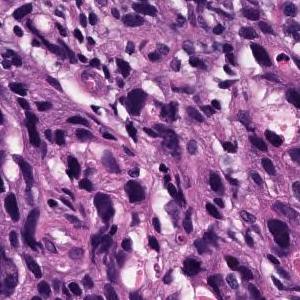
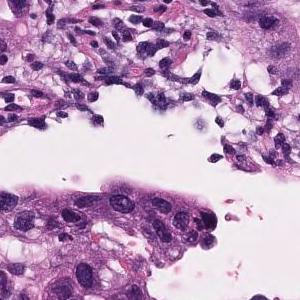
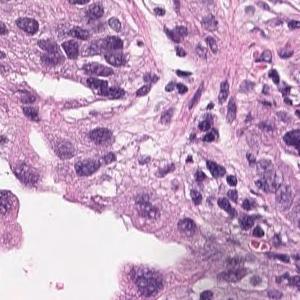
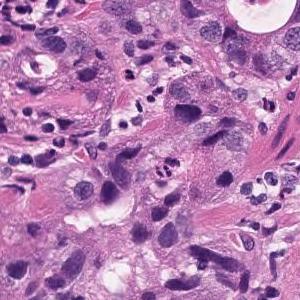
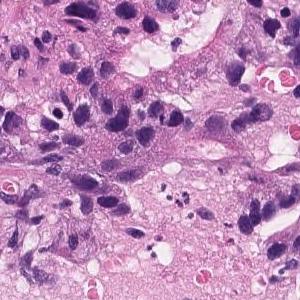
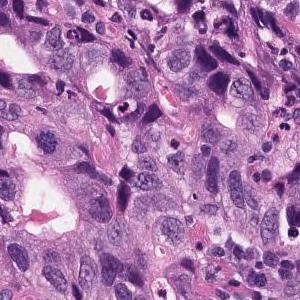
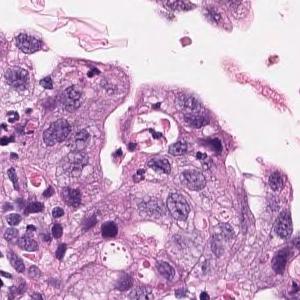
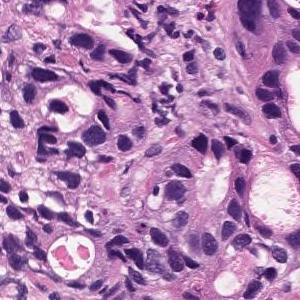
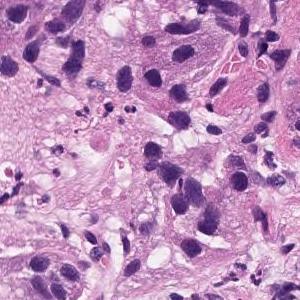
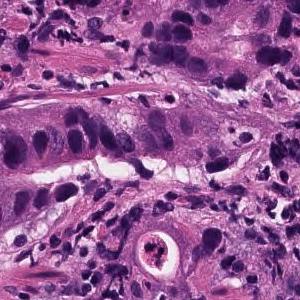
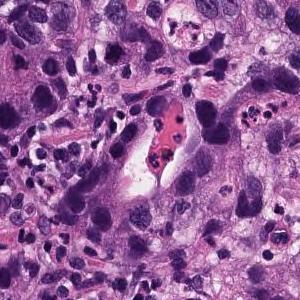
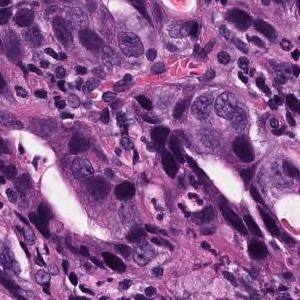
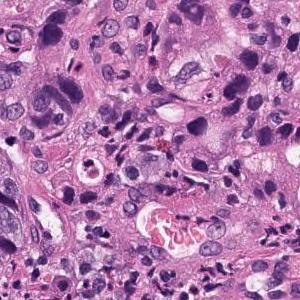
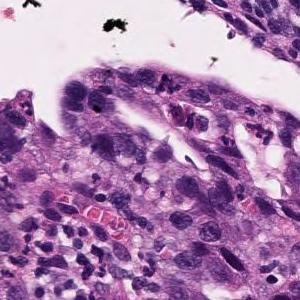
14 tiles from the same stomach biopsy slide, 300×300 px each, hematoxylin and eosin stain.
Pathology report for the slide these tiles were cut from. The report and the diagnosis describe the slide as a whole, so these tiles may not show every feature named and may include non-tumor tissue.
In the superficial epithelium, tumor tissue that invades by forming medium-sized to small, irregular ducts is observed. Moderately differentiated adenocarcinoma.
Subtype: Moderately differentiated tubular adenocarcinoma.
